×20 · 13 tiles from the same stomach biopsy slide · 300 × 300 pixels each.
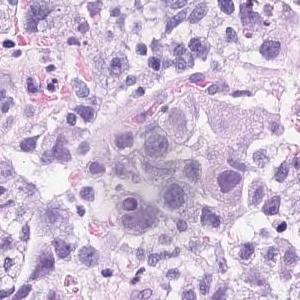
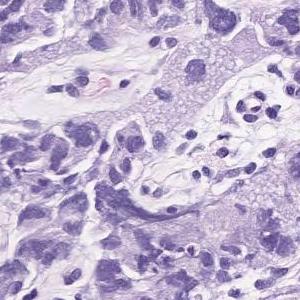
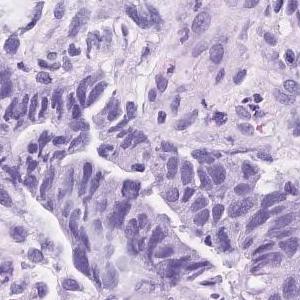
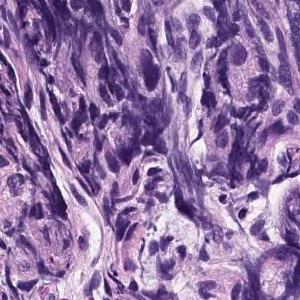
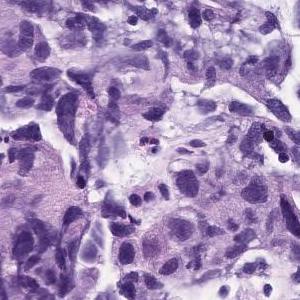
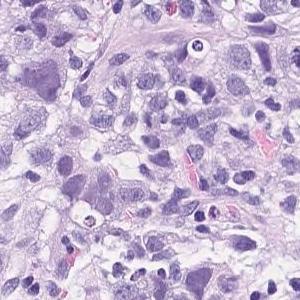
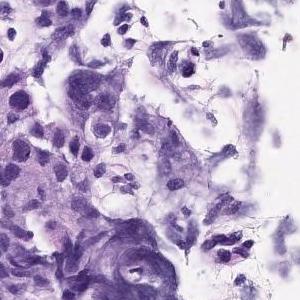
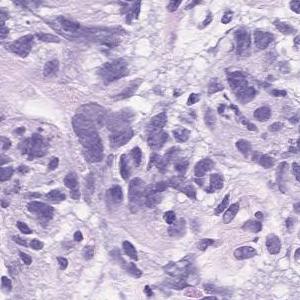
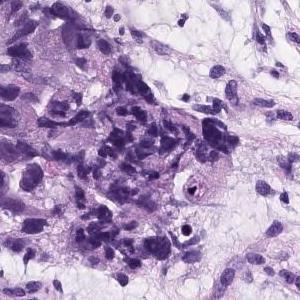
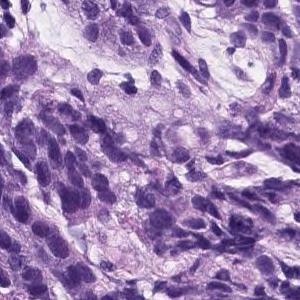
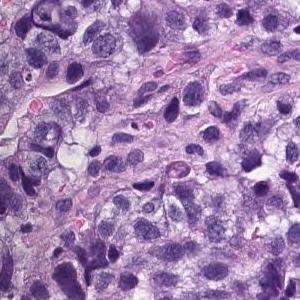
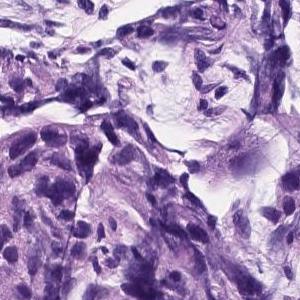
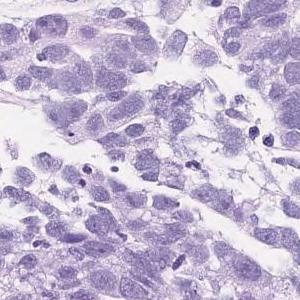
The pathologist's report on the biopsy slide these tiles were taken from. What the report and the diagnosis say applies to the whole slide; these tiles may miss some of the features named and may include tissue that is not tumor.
Atypical epithelial cells with an increased N/C ratio proliferate and consist of a part that shows the formation of gland ducts and a part that shows solid growth. Poorly differentiated adenocarcinoma, solid-type
Subtype: Poorly differentiated adenocarcinoma, solid type (Japanese Classification of Gastric Carcinoma). The WHO 2019 equivalent is tubular adenocarcinoma, poorly differentiated.
